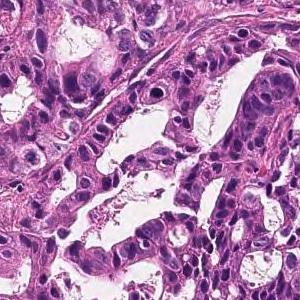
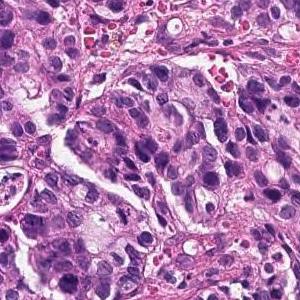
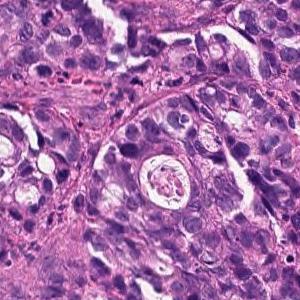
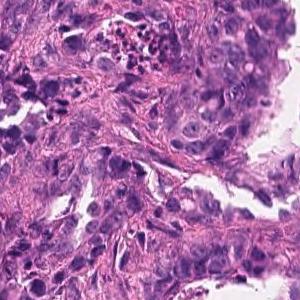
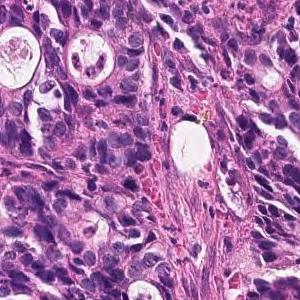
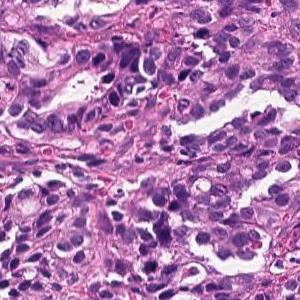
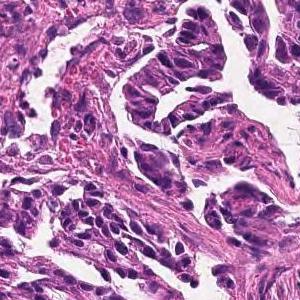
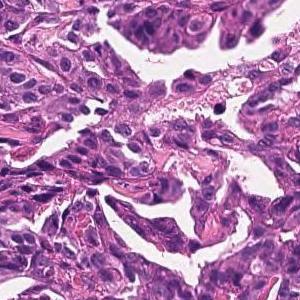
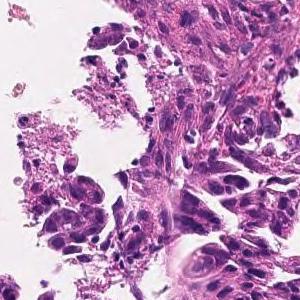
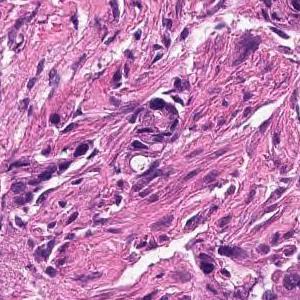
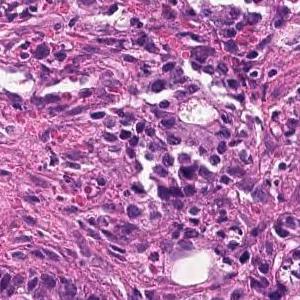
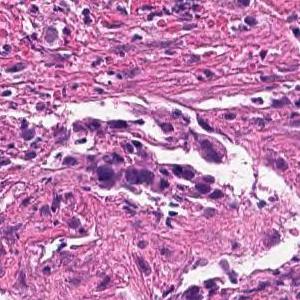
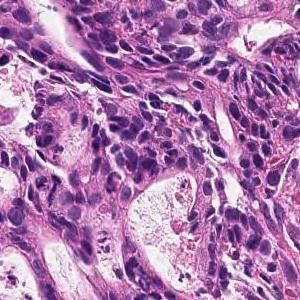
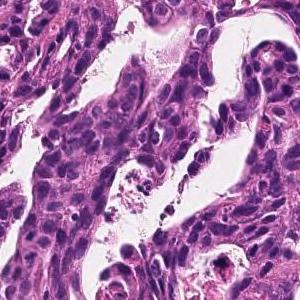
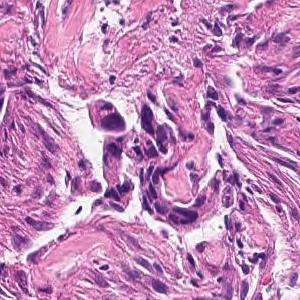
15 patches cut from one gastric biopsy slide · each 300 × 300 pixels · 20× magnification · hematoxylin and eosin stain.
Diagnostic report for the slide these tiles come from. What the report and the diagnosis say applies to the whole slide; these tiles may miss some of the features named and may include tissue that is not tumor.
On the superficial epithelium, tumor tissue consisting of images of small to medium-sized and irregular tubules infiltrating with irregular fusion is observed. moderately differentiated tubular adenocarcinoma
